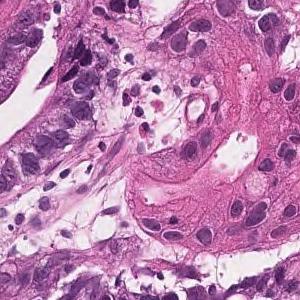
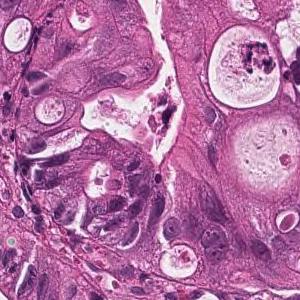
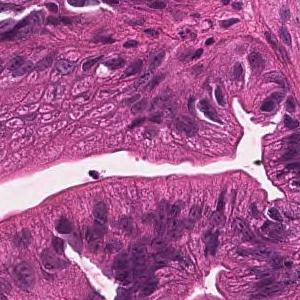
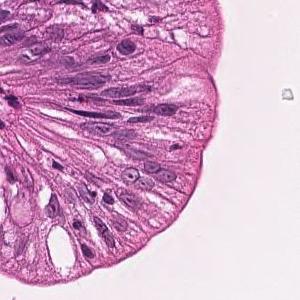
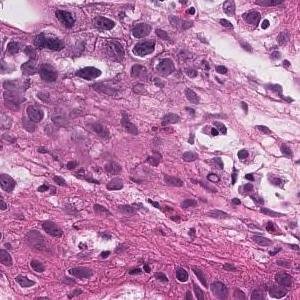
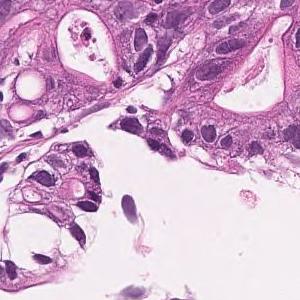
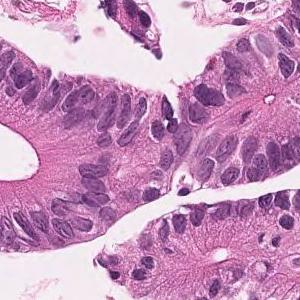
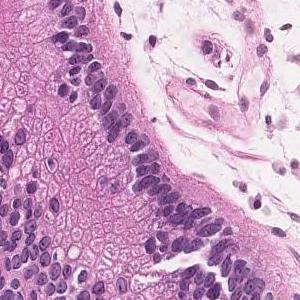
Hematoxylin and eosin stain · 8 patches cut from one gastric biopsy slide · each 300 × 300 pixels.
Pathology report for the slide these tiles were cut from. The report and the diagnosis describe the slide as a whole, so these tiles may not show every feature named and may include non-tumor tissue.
On the superficial epithelium, tumor tissue that infiltrates by forming medium-sized papillary or small irregular ducts is observed. Papillary adenocarcinoma
